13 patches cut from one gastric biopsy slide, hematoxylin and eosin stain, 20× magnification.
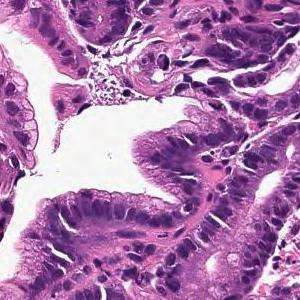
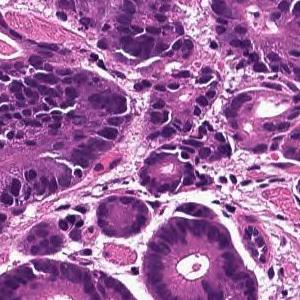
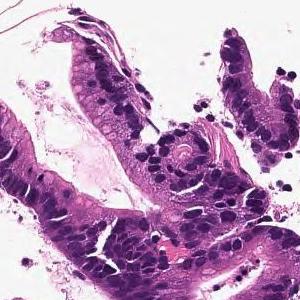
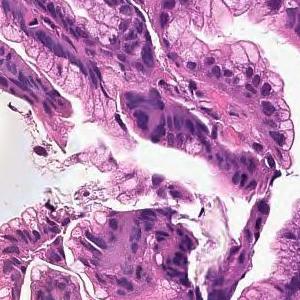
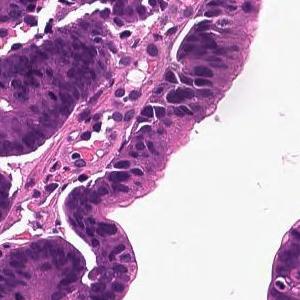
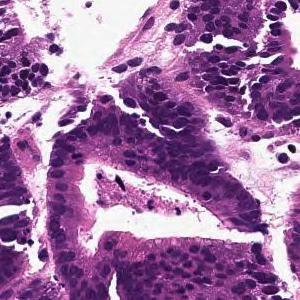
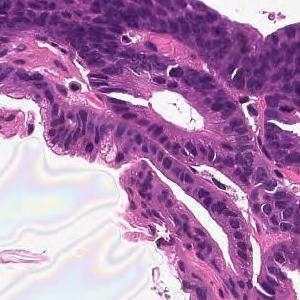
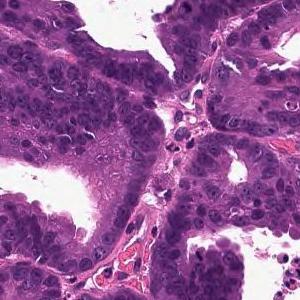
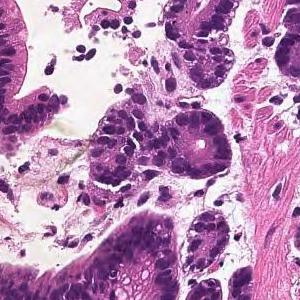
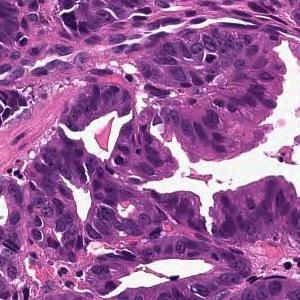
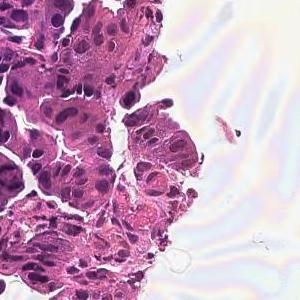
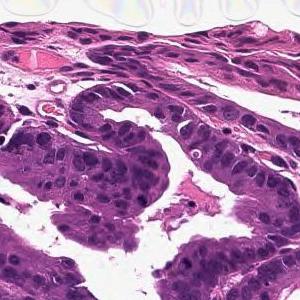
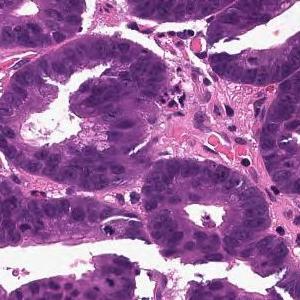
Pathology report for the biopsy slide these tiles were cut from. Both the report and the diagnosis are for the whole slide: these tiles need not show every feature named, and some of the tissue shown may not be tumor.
From the superficial epithelium to the muscularis mucosae, tumor tissue consisting of medium-sized and irregular glandular ducts infiltrating is observed. Well differentiated tubular adenocarcinoma
